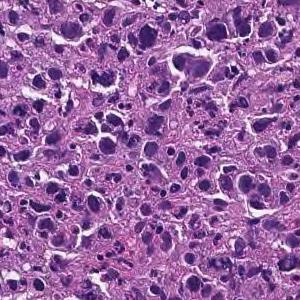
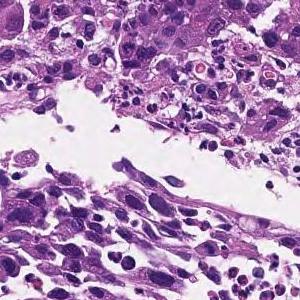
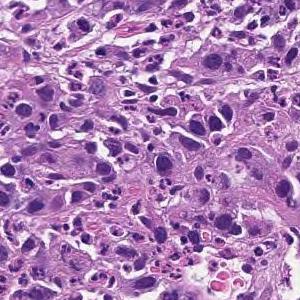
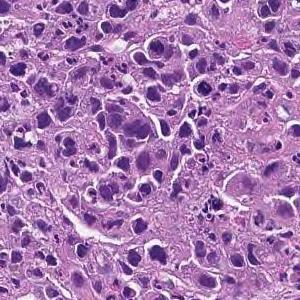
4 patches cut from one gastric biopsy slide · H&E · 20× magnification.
Diagnostic report for the slide these tiles come from. The report and the diagnosis describe the slide as a whole, so these tiles may not show every feature named and may include non-tumor tissue.
The superficial epithelium shows a large sheet-like shape, and some tumor tissue infiltrates with small irregular ducts. Poorly differentiated adenocarcinoma, solid-type
Subtype: Poorly differentiated adenocarcinoma, solid type (Japanese Classification of Gastric Carcinoma). The WHO 2019 equivalent is tubular adenocarcinoma, poorly differentiated.
